Scanned at ×20, H&E, 7 patches cut from one gastric biopsy slide, each 300 × 300 pixels.
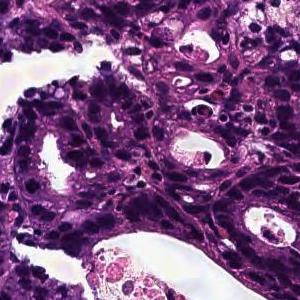
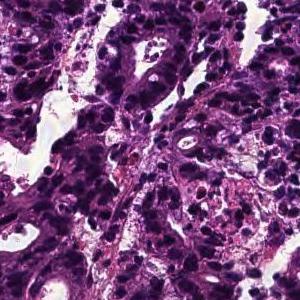
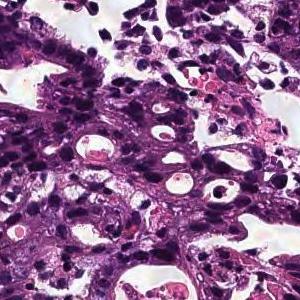
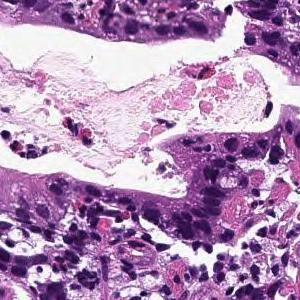
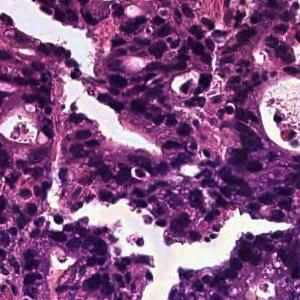
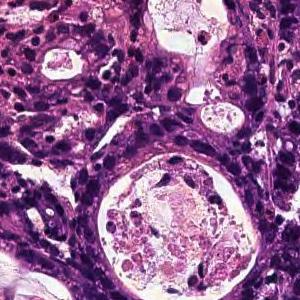
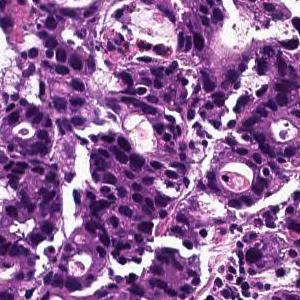
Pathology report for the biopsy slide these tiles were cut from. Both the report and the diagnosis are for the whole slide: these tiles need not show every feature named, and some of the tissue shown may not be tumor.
In the superficial epithelium, tumor tissue that invades by forming medium-sized to small, irregular ducts is observed. moderately differentiated tubular adenocarcinoma.
